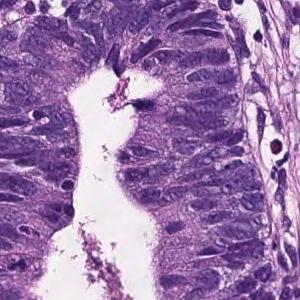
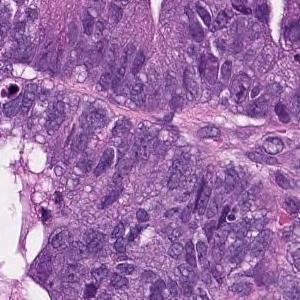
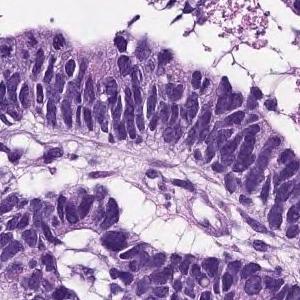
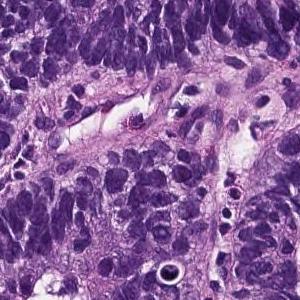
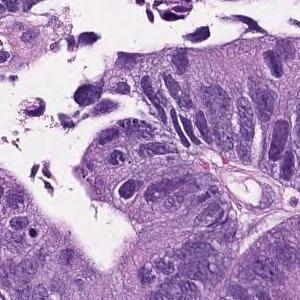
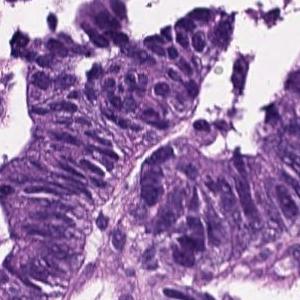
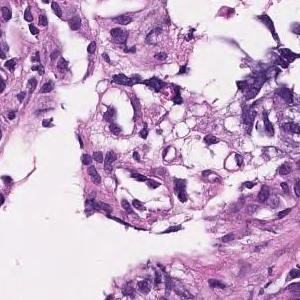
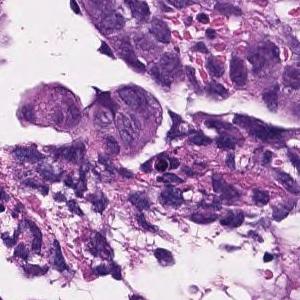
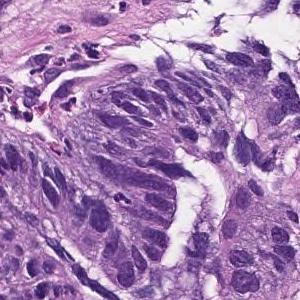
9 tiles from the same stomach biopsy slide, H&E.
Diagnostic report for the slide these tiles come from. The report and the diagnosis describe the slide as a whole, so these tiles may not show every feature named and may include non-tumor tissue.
In the superficial epithelium, tumor tissue that invades by forming medium-sized to small, irregular ducts is observed. moderately differentiated tubular adenocarcinoma.
